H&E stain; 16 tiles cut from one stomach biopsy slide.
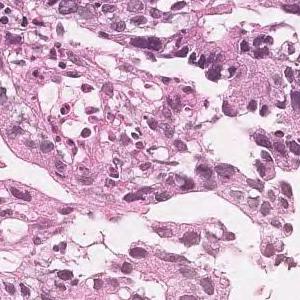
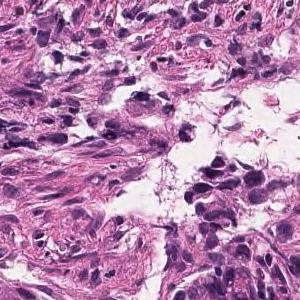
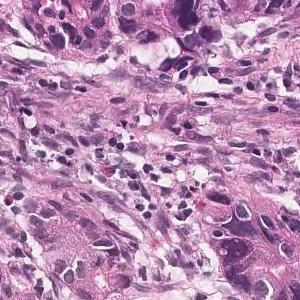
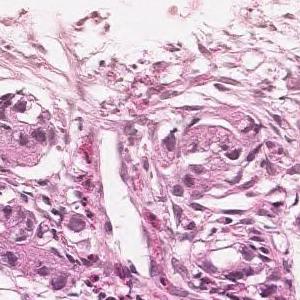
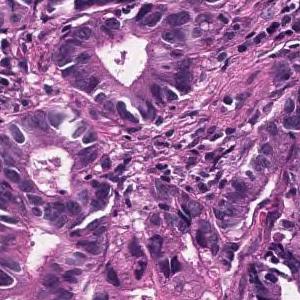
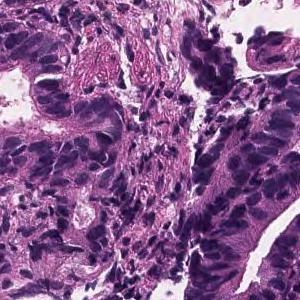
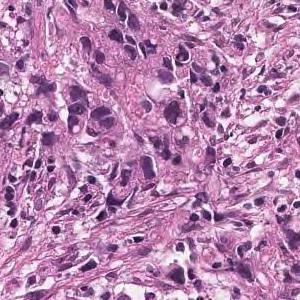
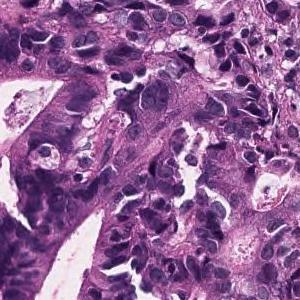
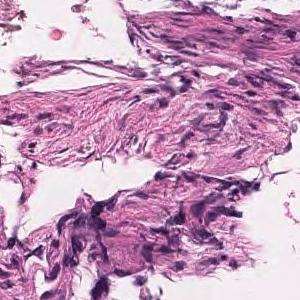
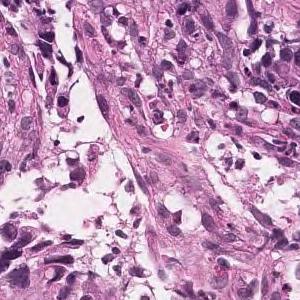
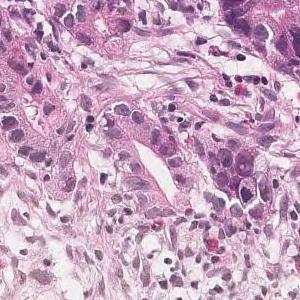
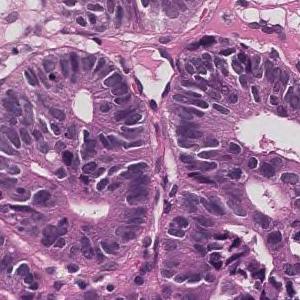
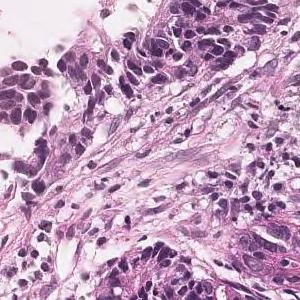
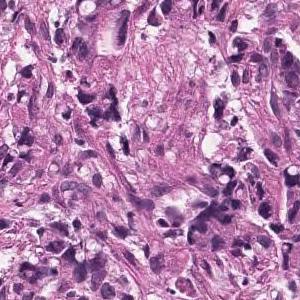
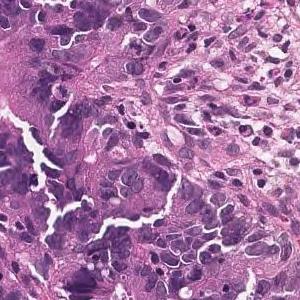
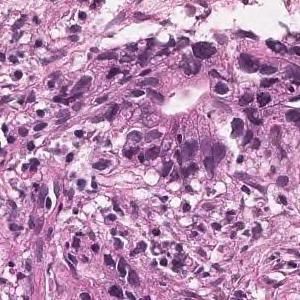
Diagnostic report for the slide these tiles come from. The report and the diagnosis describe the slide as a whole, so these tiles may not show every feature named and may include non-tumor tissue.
In the superficial epithelium, tumor tissue is found in which medium-sized irregular gland ducts fuse with each other and infiltrate. moderately differentiated tubular adenocarcinoma
